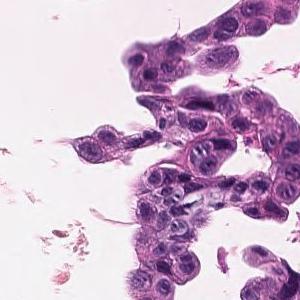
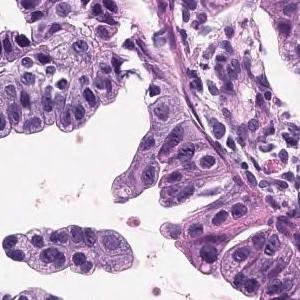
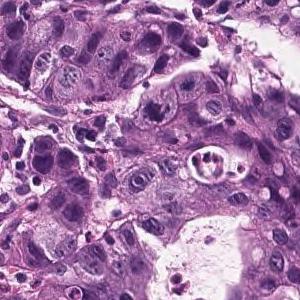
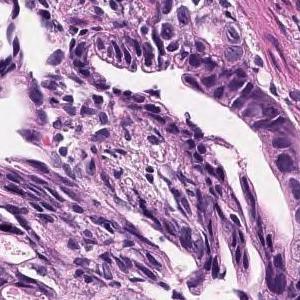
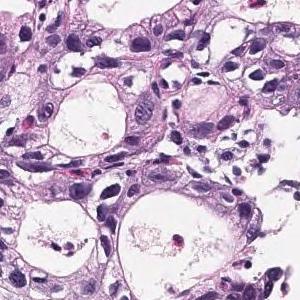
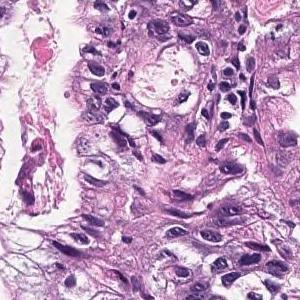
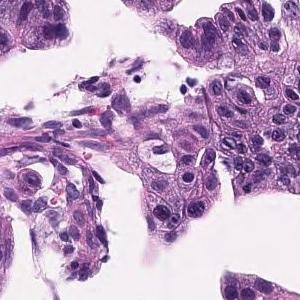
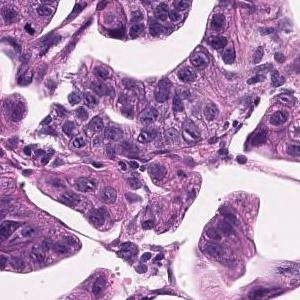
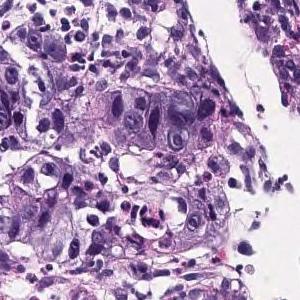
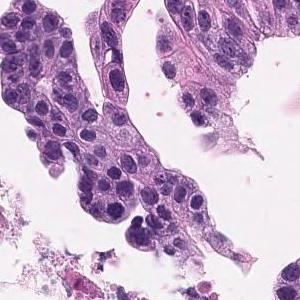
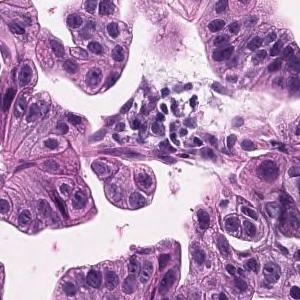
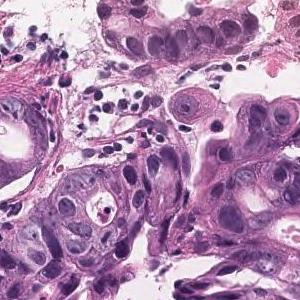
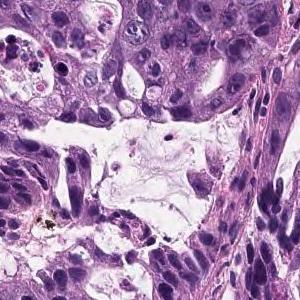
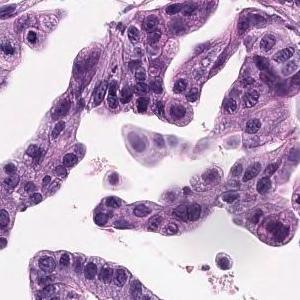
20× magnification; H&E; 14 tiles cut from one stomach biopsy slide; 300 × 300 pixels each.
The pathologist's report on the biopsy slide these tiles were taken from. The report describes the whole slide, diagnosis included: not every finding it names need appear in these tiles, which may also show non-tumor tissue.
Tumor cells are large, highly columnar, large club-shaped nuclei, and are associated with chromatin aggregation. Papillary adenocarcinoma.
